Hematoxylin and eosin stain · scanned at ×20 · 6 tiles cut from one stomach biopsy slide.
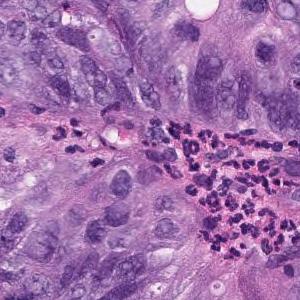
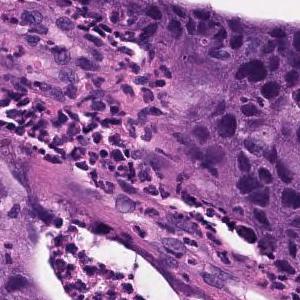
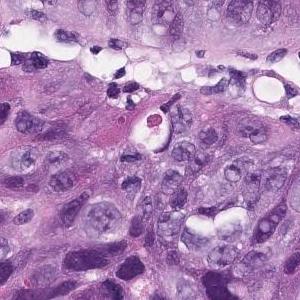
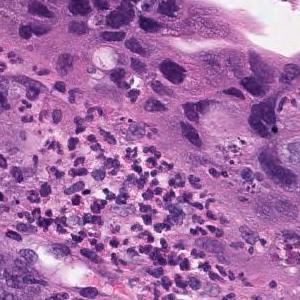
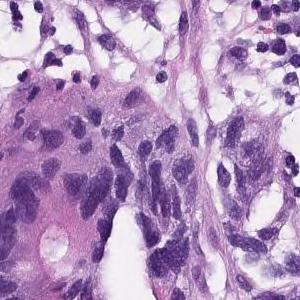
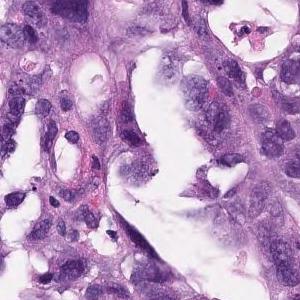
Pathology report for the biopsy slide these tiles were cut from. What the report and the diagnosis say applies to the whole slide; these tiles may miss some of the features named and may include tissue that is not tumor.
In the superficial epithelium, tumor tissue that invades by forming medium-sized to small, irregular ducts is observed. Moderately differentiated adenocarcinoma.
Histologic type: Moderately differentiated tubular adenocarcinoma.
